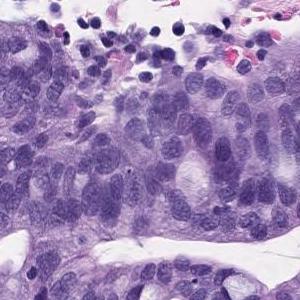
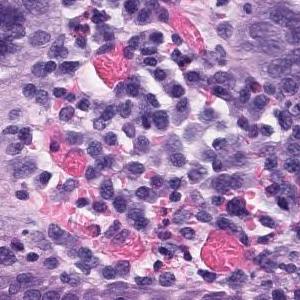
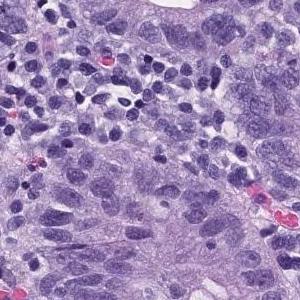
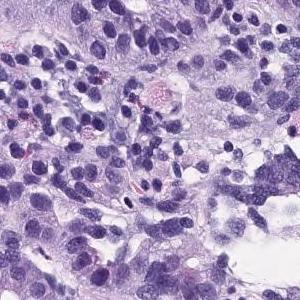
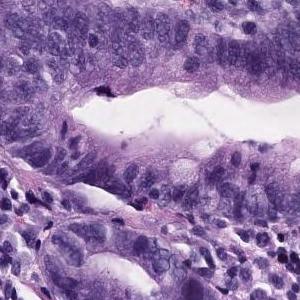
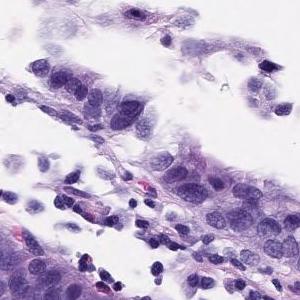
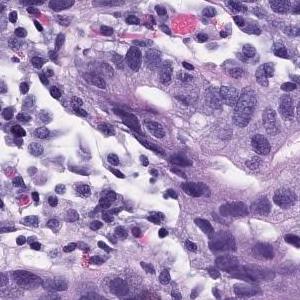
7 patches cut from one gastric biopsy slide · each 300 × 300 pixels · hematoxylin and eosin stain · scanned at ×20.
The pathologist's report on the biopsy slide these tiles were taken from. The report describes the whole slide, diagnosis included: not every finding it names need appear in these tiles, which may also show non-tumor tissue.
In the superficial epithelium, tumor tissue that invades by forming medium-sized to small, irregular ducts is observed. Moderately differentiated adenocarcinoma.
Subtype: Moderately differentiated tubular adenocarcinoma.
